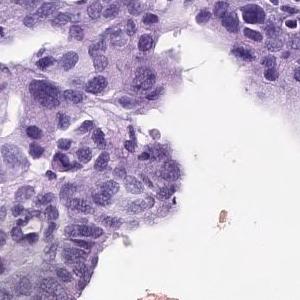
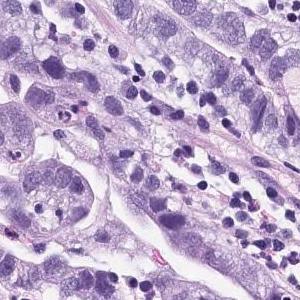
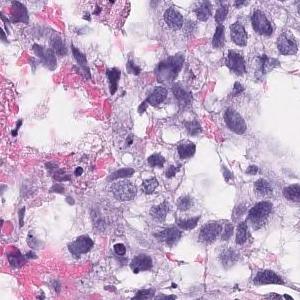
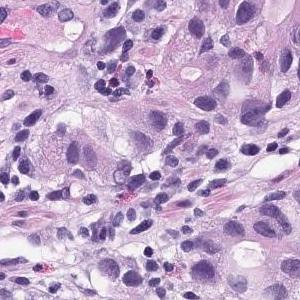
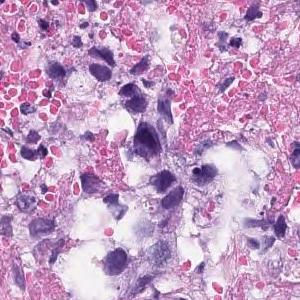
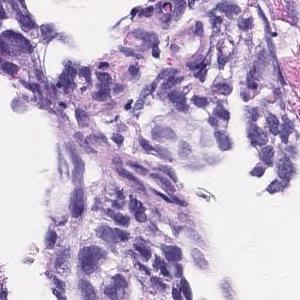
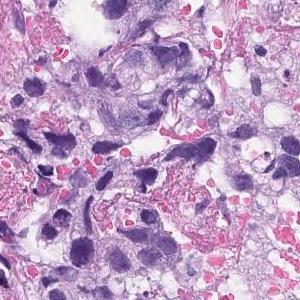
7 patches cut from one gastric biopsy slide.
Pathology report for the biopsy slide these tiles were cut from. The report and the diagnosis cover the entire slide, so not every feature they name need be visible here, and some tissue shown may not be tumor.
In the superficial epithelium, tumor tissue that invades by forming medium-sized to small, irregular ducts is observed. Moderately differentiated adenocarcinoma.
Histological subtype: Moderately differentiated tubular adenocarcinoma.
